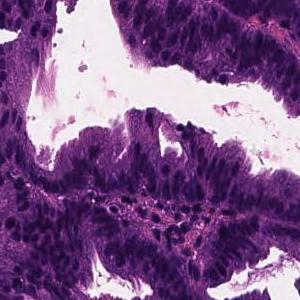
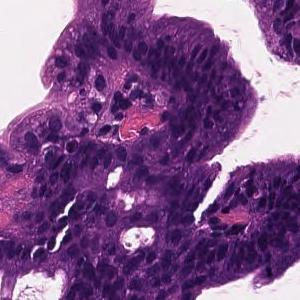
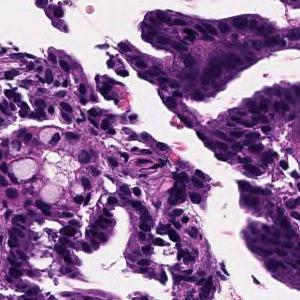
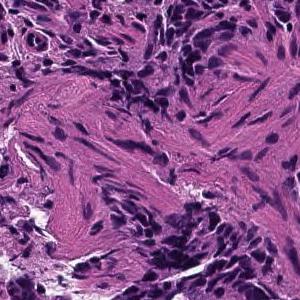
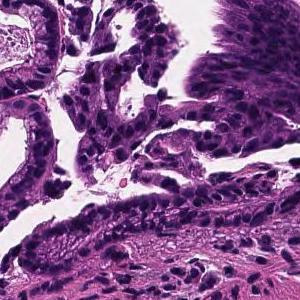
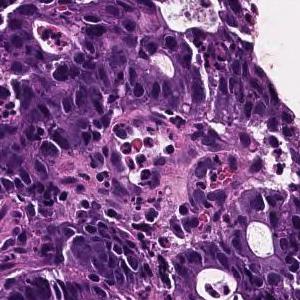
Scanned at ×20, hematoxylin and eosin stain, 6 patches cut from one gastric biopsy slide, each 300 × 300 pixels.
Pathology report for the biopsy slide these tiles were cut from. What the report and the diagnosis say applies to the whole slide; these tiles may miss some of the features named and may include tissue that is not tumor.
In the superficial epithelium, tumor tissue that invades by forming medium-sized to small, irregular ducts is observed. moderately differentiated tubular adenocarcinoma.
